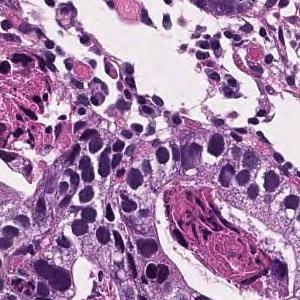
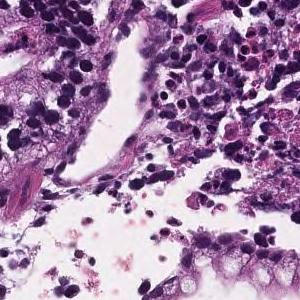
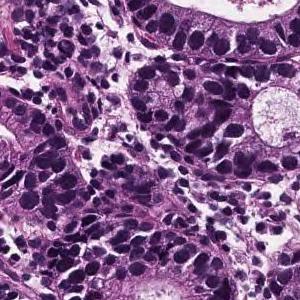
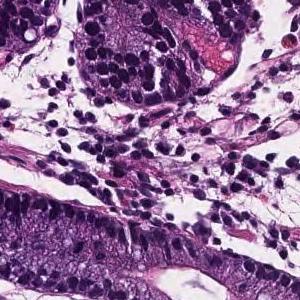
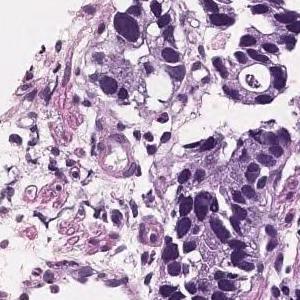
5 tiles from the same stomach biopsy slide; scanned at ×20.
Diagnostic report for the slide these tiles come from. The report and the diagnosis describe the slide as a whole, so these tiles may not show every feature named and may include non-tumor tissue.
In the superficial epithelium, tumor tissue that invades by forming medium-sized to small, irregular ducts is observed. Well differentiated tubular adenocarcinoma.
